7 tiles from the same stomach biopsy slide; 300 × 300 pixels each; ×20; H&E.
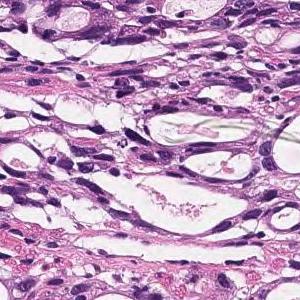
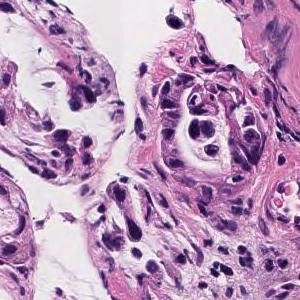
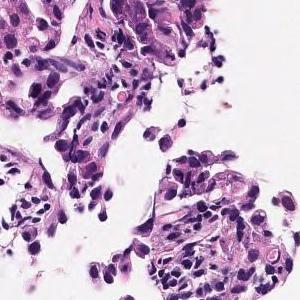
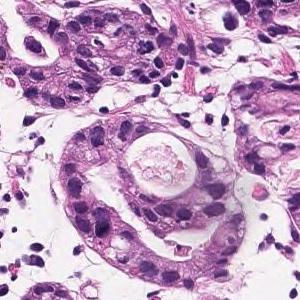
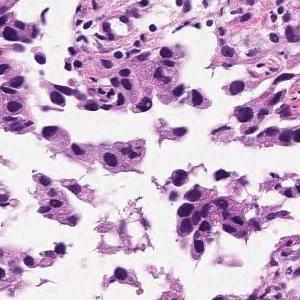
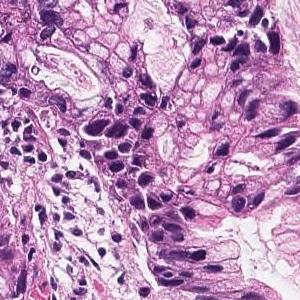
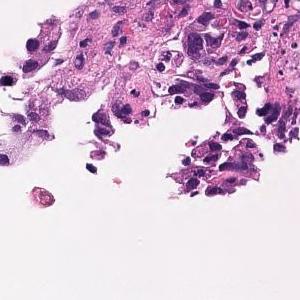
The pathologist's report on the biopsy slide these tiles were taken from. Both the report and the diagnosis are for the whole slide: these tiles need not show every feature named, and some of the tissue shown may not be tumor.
In the superficial epithelium, tumor tissue that invades by forming medium-sized to small, irregular ducts is observed. Moderately differentiated adenocarcinoma.
Classified as moderately differentiated tubular adenocarcinoma.
